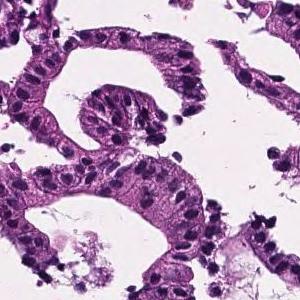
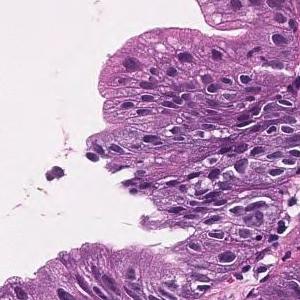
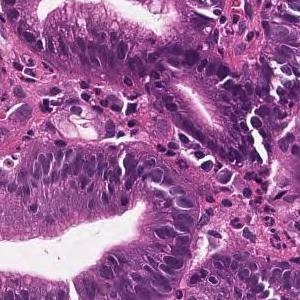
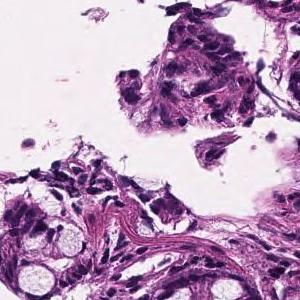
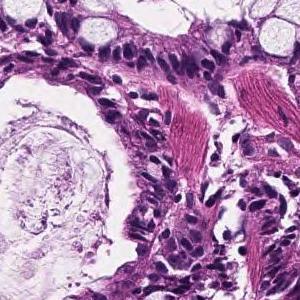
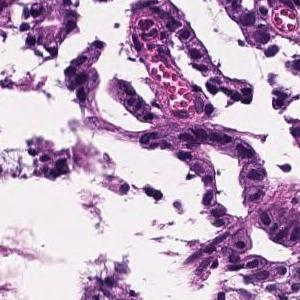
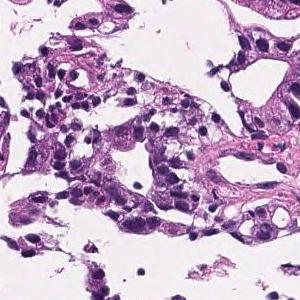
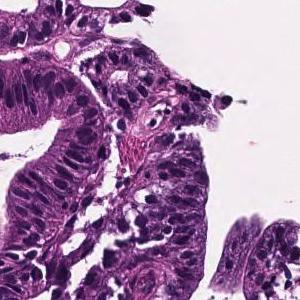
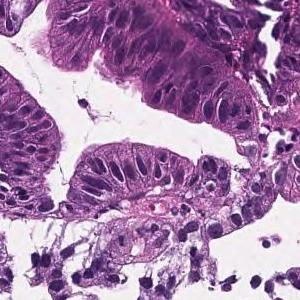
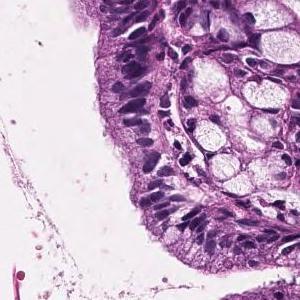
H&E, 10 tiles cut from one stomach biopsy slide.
Report on the slide these tiles come from. The findings and the diagnosis refer to the entire slide; these tiles show only part of it, possibly with non-tumor tissue, and may not show every feature named.
In the superficial epithelium, tumor tissue that invades by forming medium-sized to small, irregular ducts is observed. Well differentiated tubular adenocarcinoma.
